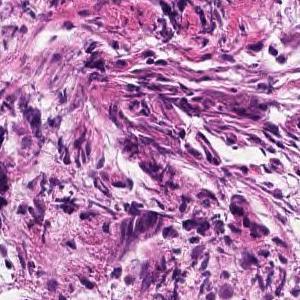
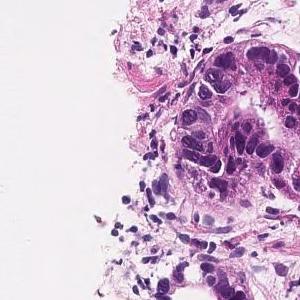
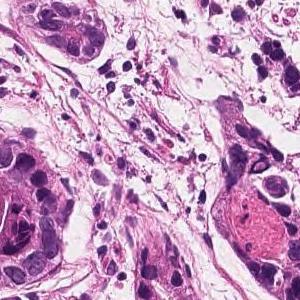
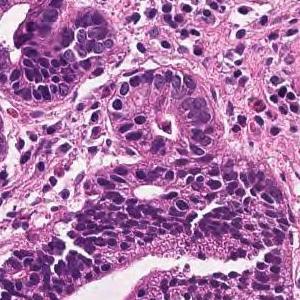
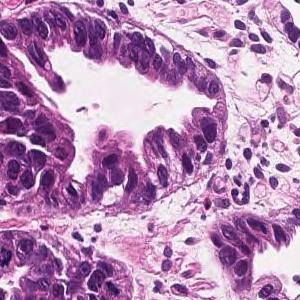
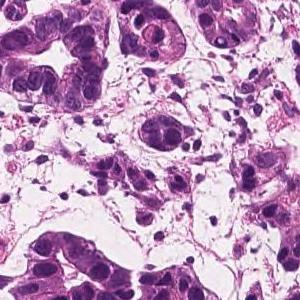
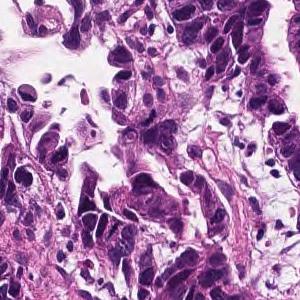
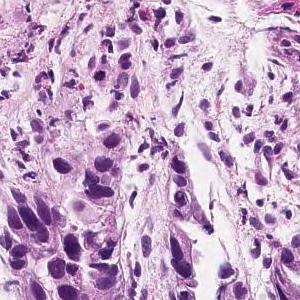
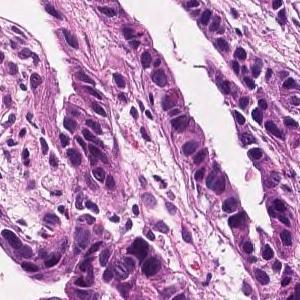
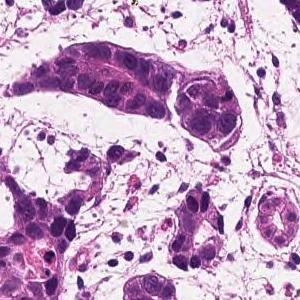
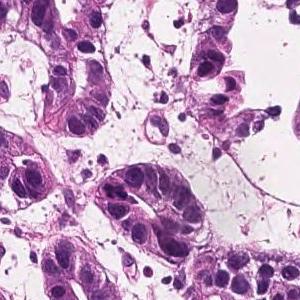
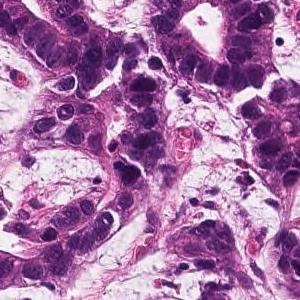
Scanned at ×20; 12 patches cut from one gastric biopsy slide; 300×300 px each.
Report on the slide these tiles come from. Both the report and the diagnosis are for the whole slide: these tiles need not show every feature named, and some of the tissue shown may not be tumor.
In the superficial epithelium, tumor tissue that invades by forming medium-sized to small, irregular ducts is observed. Well differentiated tubular adenocarcinoma.
